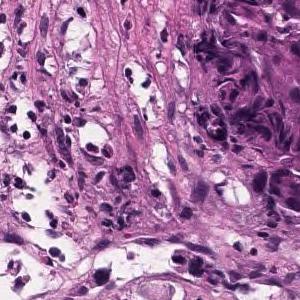
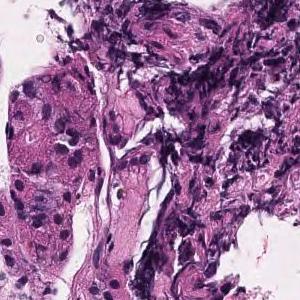
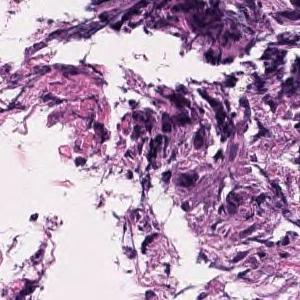
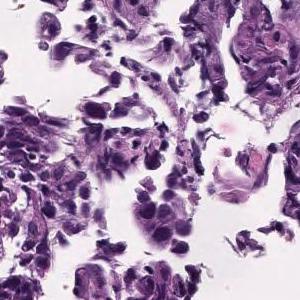
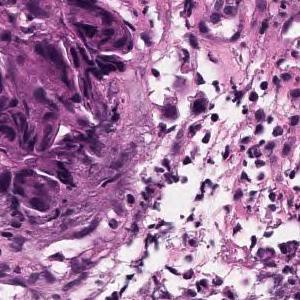
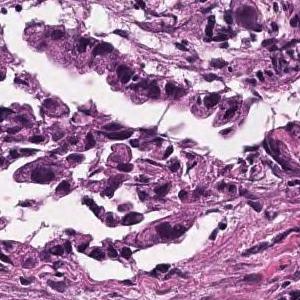
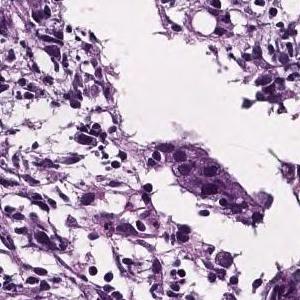
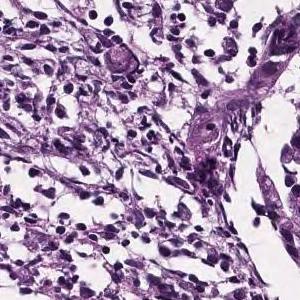
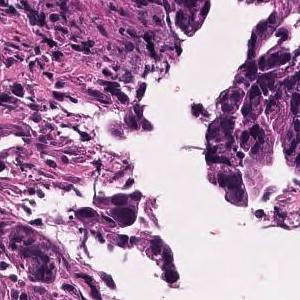
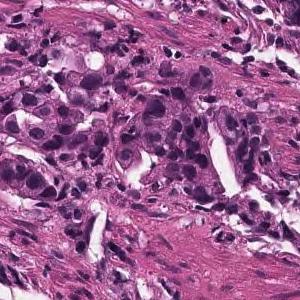
10 patches cut from one gastric biopsy slide; 300 × 300 pixels each.
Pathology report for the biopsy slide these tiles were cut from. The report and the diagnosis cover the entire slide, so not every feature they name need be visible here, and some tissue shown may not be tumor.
In the superficial epithelium, tumor tissue that invades by forming medium-sized to small, irregular ducts is observed. moderately differentiated tubular adenocarcinoma.
